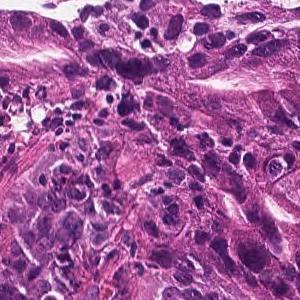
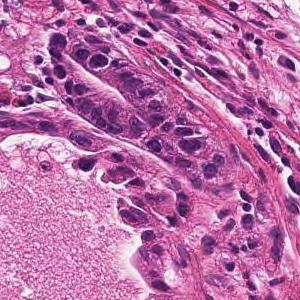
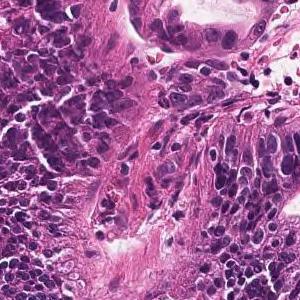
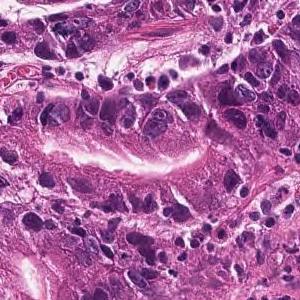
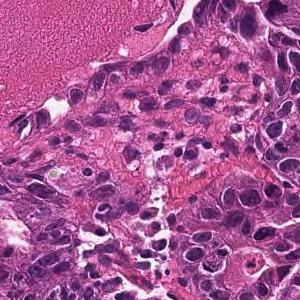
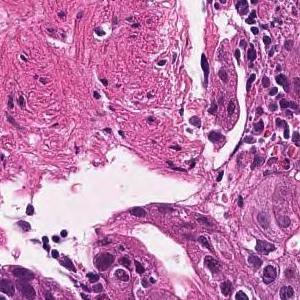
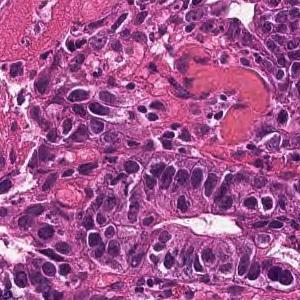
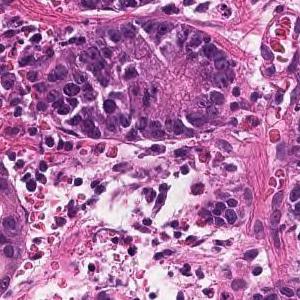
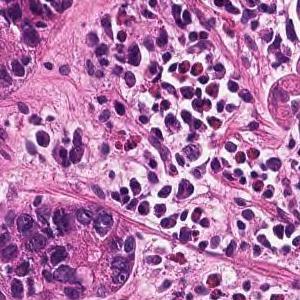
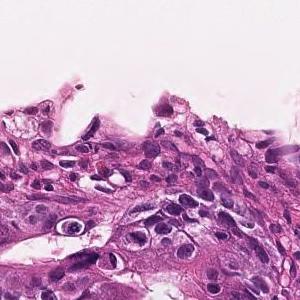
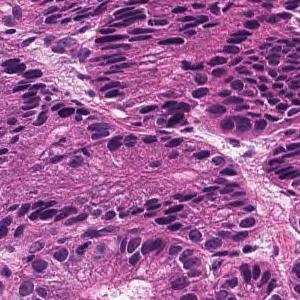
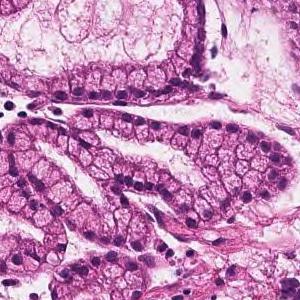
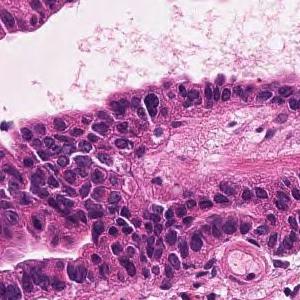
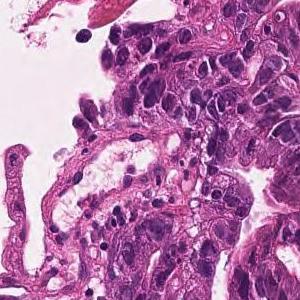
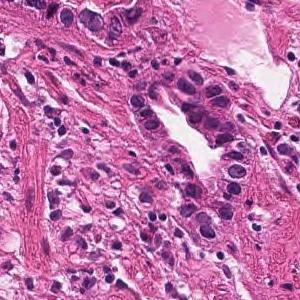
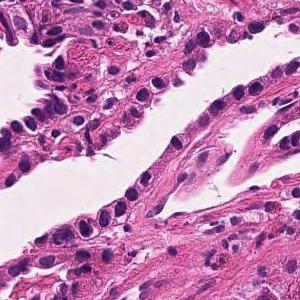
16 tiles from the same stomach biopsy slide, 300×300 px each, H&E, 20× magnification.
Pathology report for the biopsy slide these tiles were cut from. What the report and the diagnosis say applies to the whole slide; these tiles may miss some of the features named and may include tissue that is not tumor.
In the superficial epithelium, tumor tissue that invades by forming medium-sized to small, irregular ducts is observed. moderately differentiated tubular adenocarcinoma.
